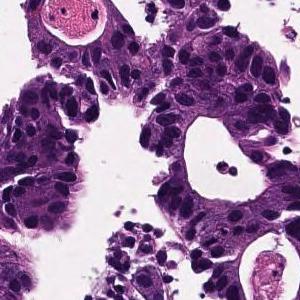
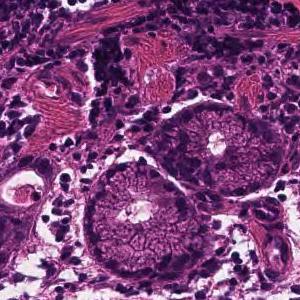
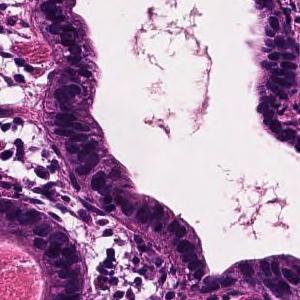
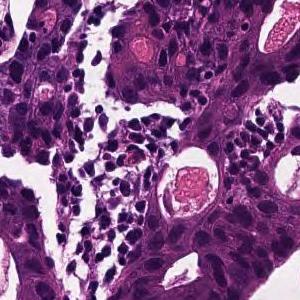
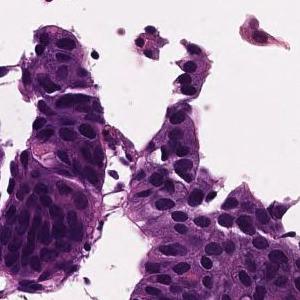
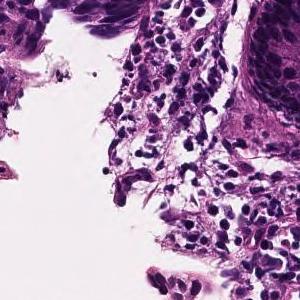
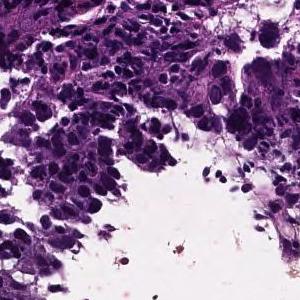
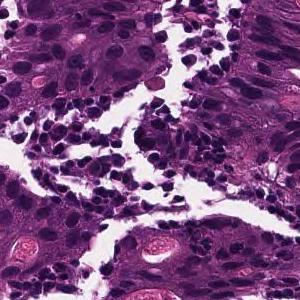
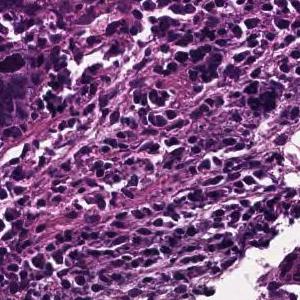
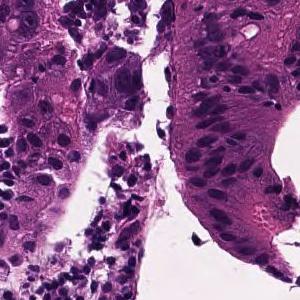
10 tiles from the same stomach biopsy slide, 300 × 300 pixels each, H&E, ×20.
Report on the slide these tiles come from. The report and the diagnosis cover the entire slide, so not every feature they name need be visible here, and some tissue shown may not be tumor.
In the superficial epithelium, tumor tissue that invades by forming medium-sized to small, irregular ducts is observed. moderately differentiated tubular adenocarcinoma.
